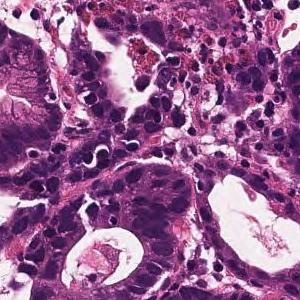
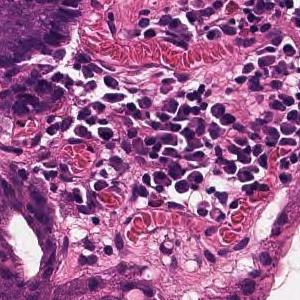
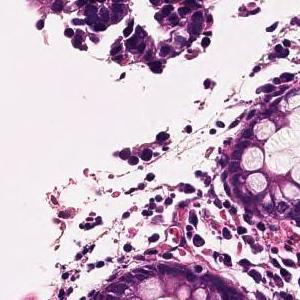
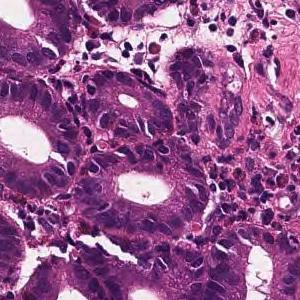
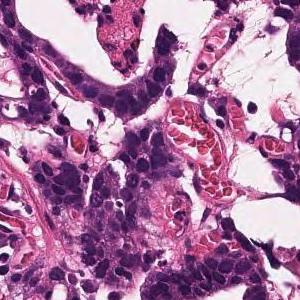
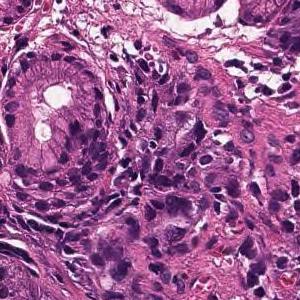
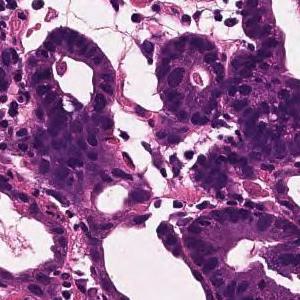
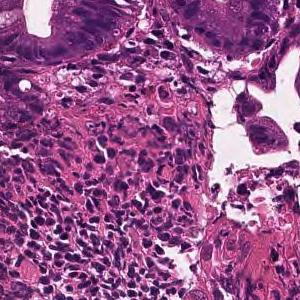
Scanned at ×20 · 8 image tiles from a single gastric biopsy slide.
Pathology report for the slide these tiles were cut from. The report describes the whole slide, diagnosis included: not every finding it names need appear in these tiles, which may also show non-tumor tissue.
On the superficial epithelium, tumor tissue consisting of medium-sized and irregular glandular ducts partially fused and infiltrated is observed. Well to moderately differentiated tubular adenocarcinoma (well differentiated tubular adenocarcinoma-moderately differentiated tubular adenocarcinoma)
Tumor subtype: well to moderately differentiated tubular adenocarcinoma.
